14 tiles from the same stomach biopsy slide.
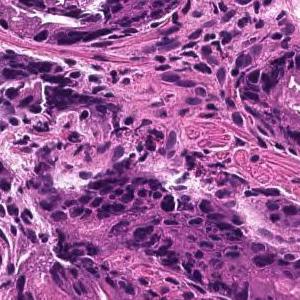
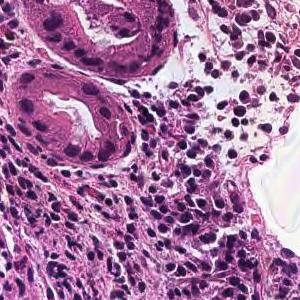
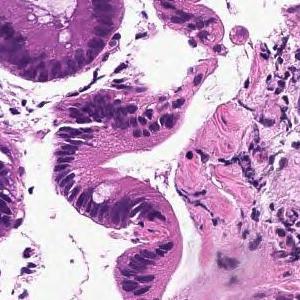
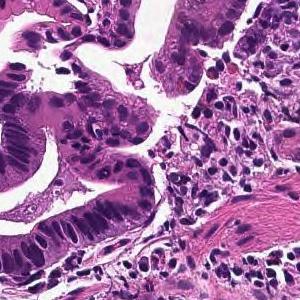
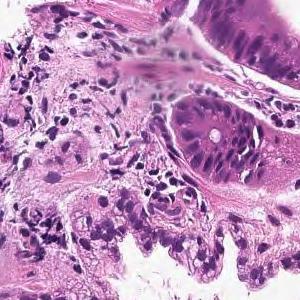
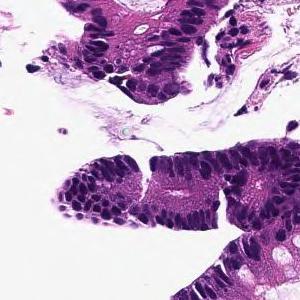
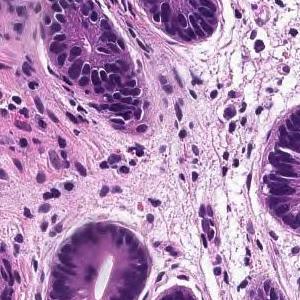
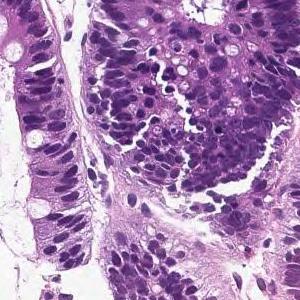
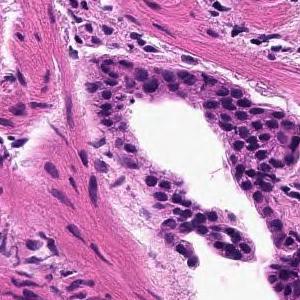
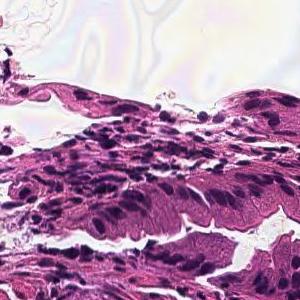
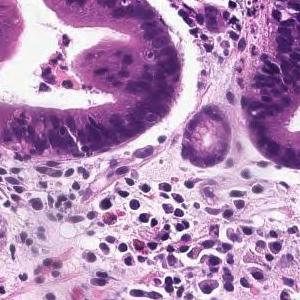
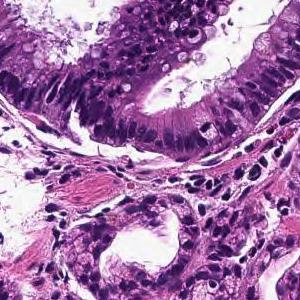
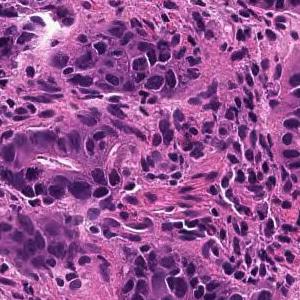
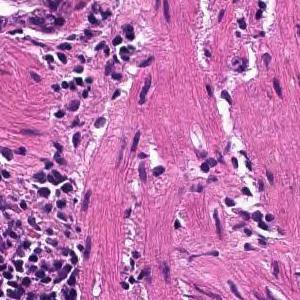
Pathology report for the biopsy slide these tiles were cut from. Both the report and the diagnosis are for the whole slide: these tiles need not show every feature named, and some of the tissue shown may not be tumor.
From the superficial epithelium to the muscularis mucosae, tumor tissue consisting of medium-sized and irregular glandular ducts infiltrating is observed. Well differentiated tubular adenocarcinoma
